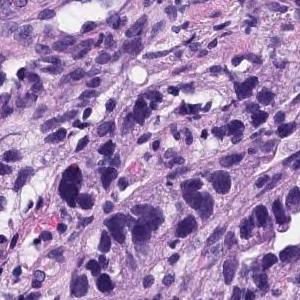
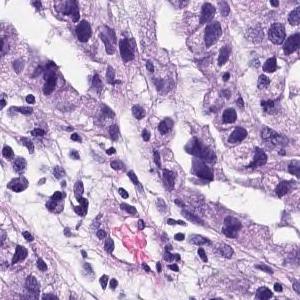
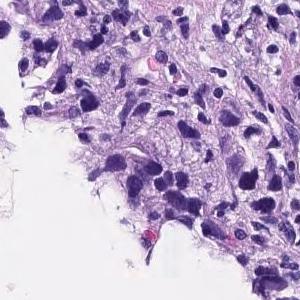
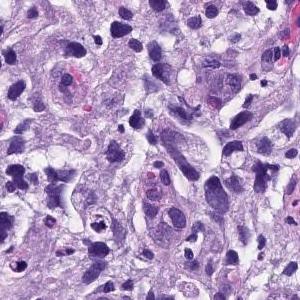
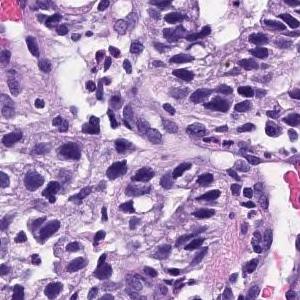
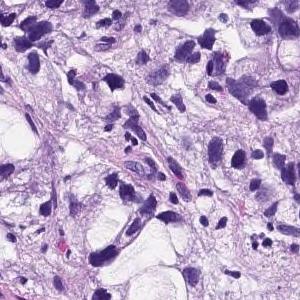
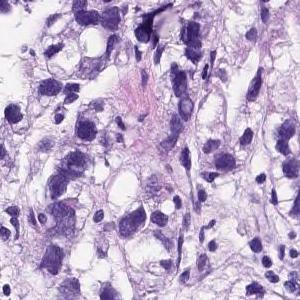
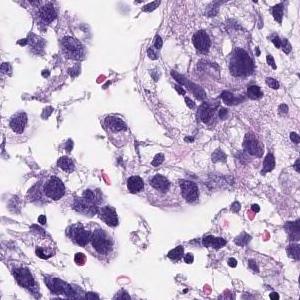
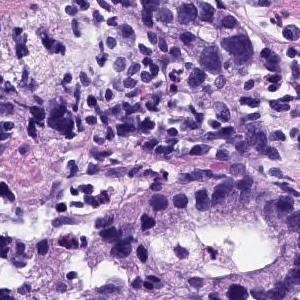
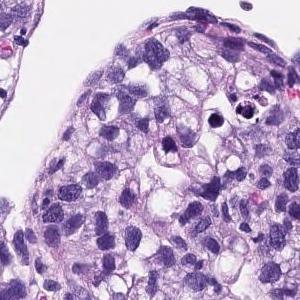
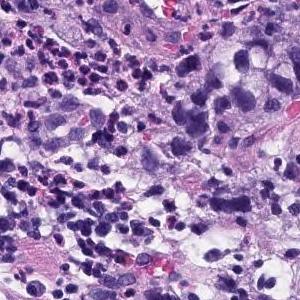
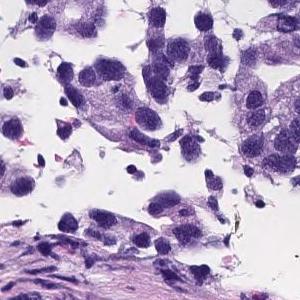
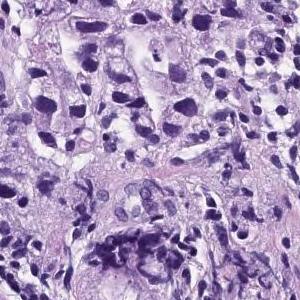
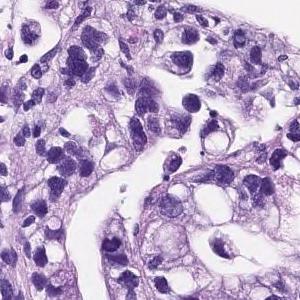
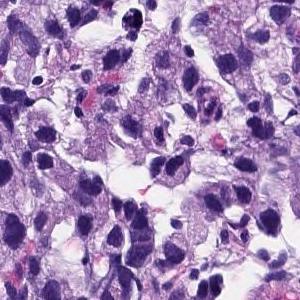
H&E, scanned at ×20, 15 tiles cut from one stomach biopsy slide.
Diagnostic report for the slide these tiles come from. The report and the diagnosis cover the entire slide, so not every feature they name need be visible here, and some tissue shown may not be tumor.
Medium to small, irregular glandular ducts are formed in the superficial epithelium, and in some cases, the glandular ducts are fused to show solid alveolar lesions and infiltrating tumor tissue is observed. Poorly differentiated adenocarcinoma, Moderately differentiated adenocarcinoma.
Labeled in the dataset as moderately differentiated tubular adenocarcinoma.
